H&E stain; 11 image tiles from a single gastric biopsy slide; 300 × 300 pixels each.
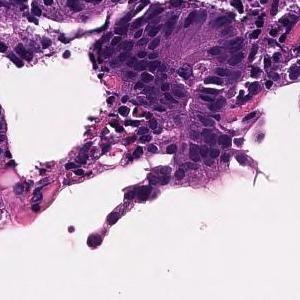
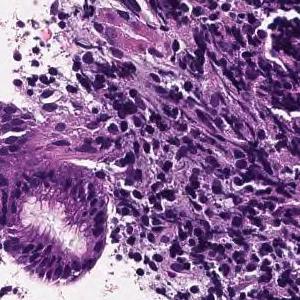
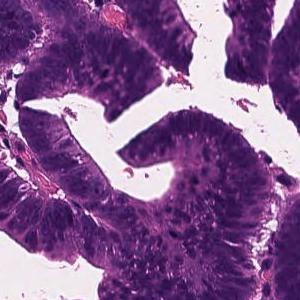
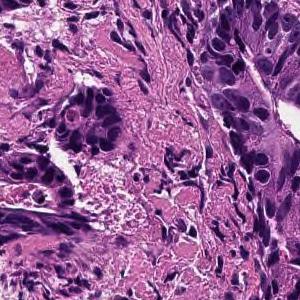
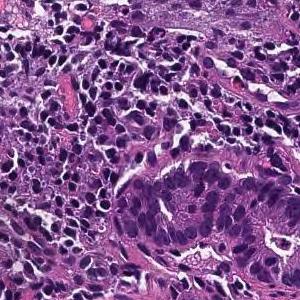
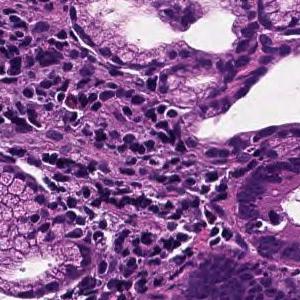
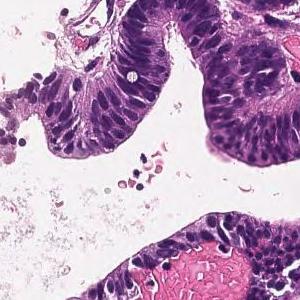
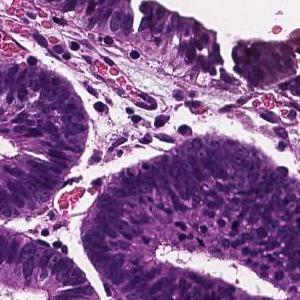
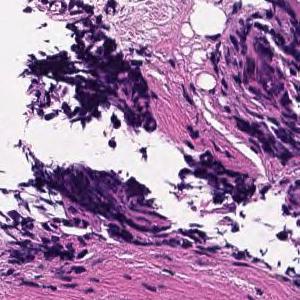
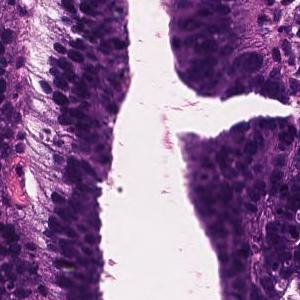
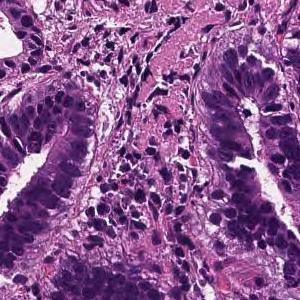
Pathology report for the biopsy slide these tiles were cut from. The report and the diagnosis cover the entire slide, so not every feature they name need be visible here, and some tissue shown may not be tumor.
Tumor tissue consisting of large papillary structures is found in the superficial epithelium. Papillary adenocarcinoma.
